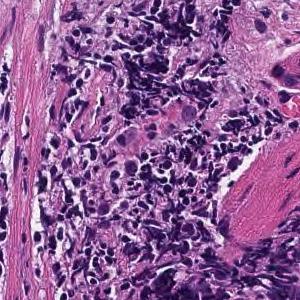
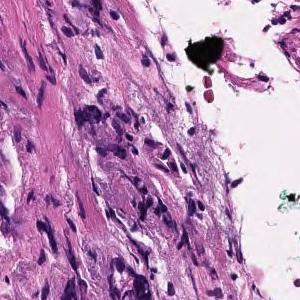
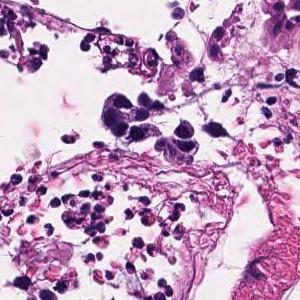
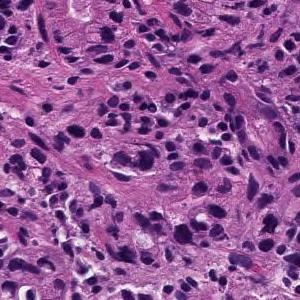
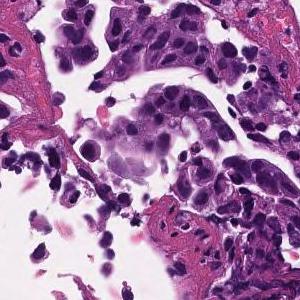
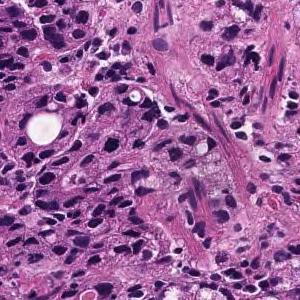
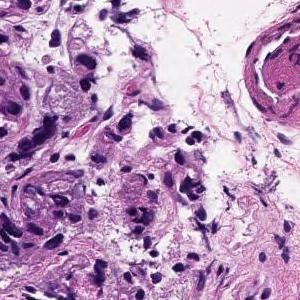
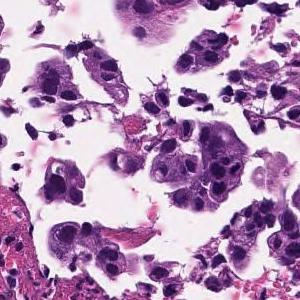
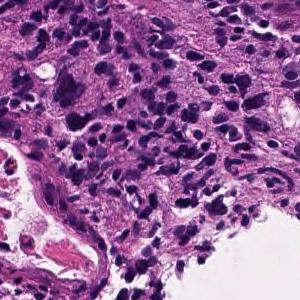
×20, H&E stain, 9 tiles from the same stomach biopsy slide, 300 × 300 pixels each.
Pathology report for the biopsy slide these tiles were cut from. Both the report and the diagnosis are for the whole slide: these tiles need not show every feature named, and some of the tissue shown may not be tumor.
In the superficial epithelium, tumor tissue that invades by forming medium-sized to small, irregular ducts is observed. moderately differentiated tubular adenocarcinoma.
